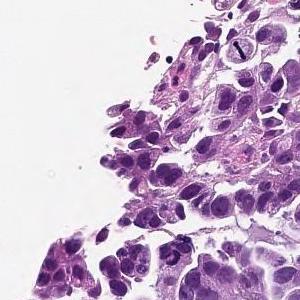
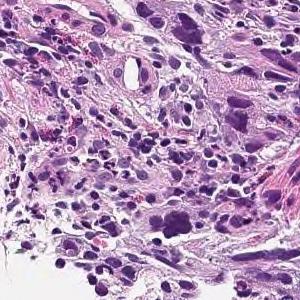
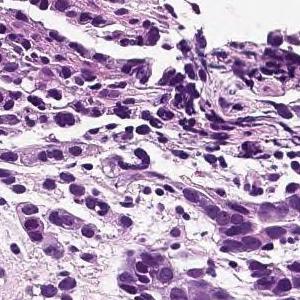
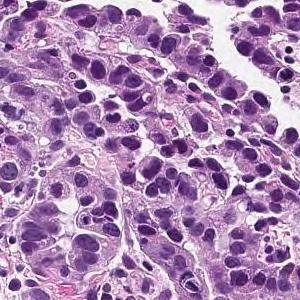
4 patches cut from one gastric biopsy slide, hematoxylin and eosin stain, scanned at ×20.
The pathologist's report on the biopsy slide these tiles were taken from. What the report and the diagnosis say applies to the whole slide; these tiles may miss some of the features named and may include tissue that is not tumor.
Tumor tissue consisting of medium-sized, cord-like or irregular glandular infiltration is observed in the superficial epithelium. Poorly differentiated adenocarcinoma, non-solid type or moderately differentiated tubular adenocarcinoma
Histological subtype: Moderately to poorly differentiated adenocarcinoma.
"Non-solid type" is a category of the Japanese Classification of Gastric Carcinoma.
